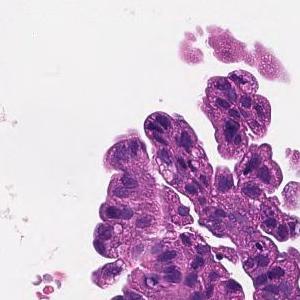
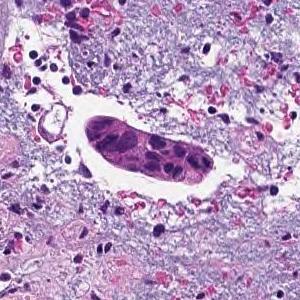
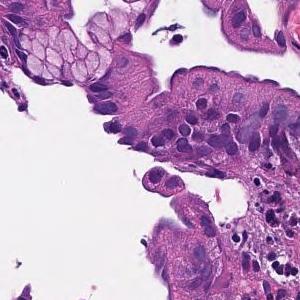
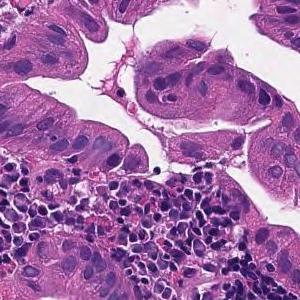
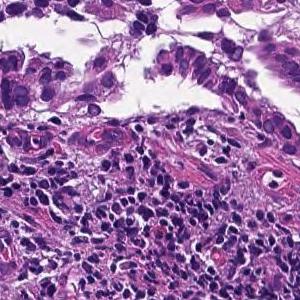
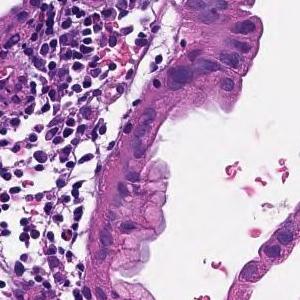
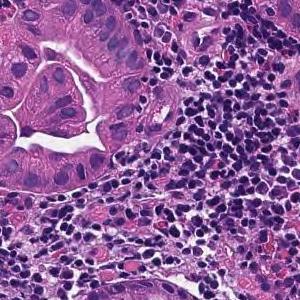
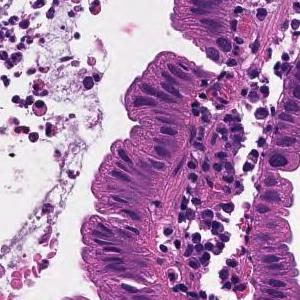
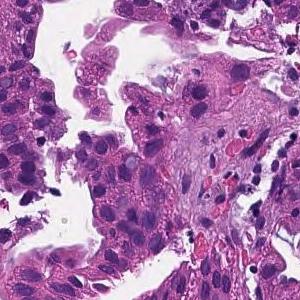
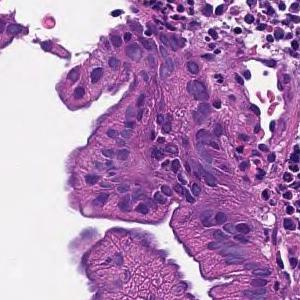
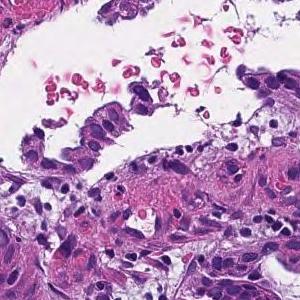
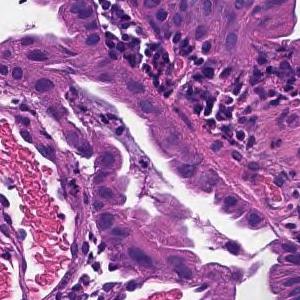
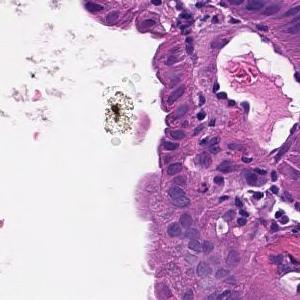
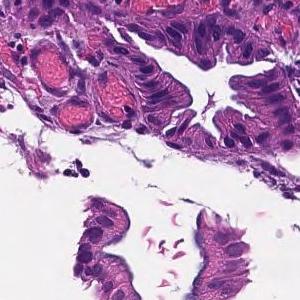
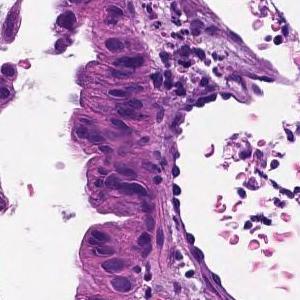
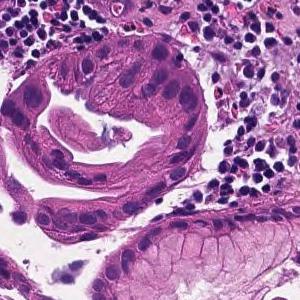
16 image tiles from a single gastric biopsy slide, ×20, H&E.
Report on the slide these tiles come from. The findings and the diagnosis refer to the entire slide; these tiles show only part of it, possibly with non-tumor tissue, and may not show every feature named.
On the superficial epithelium, tumor tissue that infiltrates by forming medium-sized papillary or small irregular ducts is observed. Papillary adenocarcinoma
